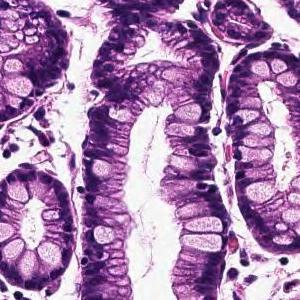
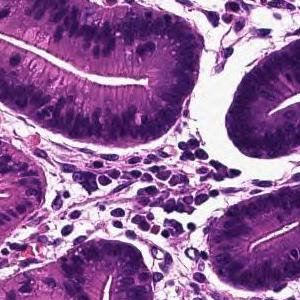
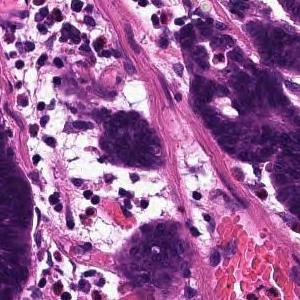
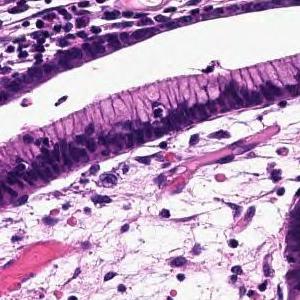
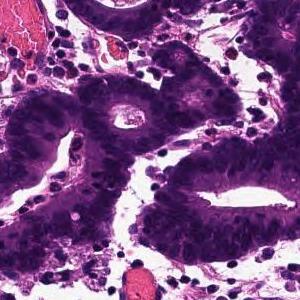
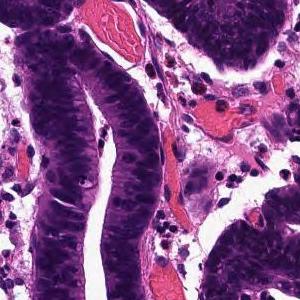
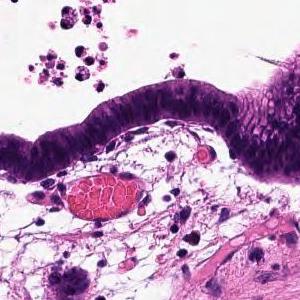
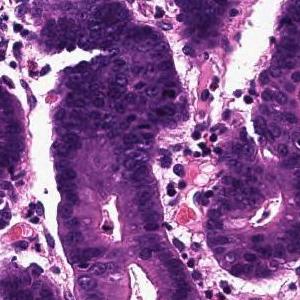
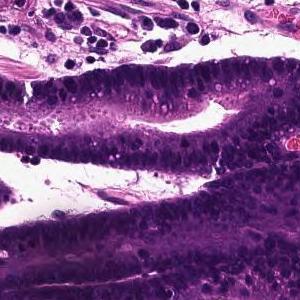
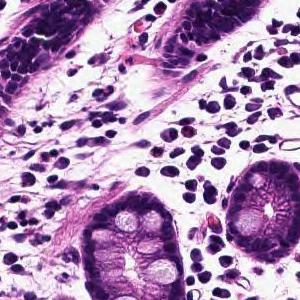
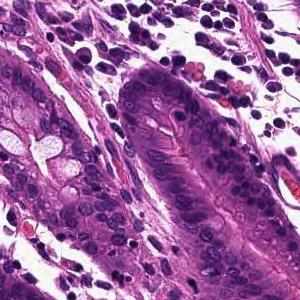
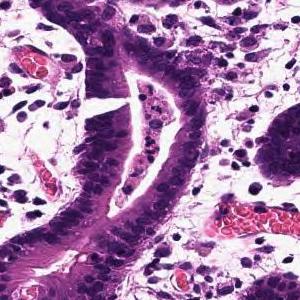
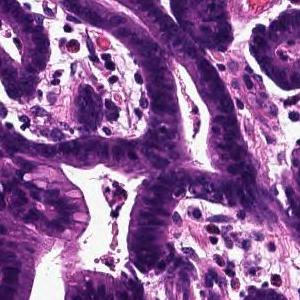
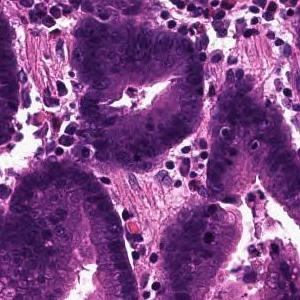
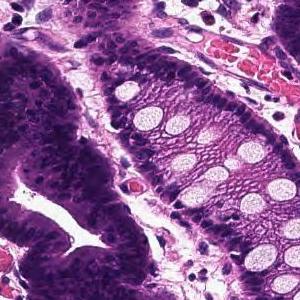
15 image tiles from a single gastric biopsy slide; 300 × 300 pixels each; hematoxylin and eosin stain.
Report on the slide these tiles come from. What the report and the diagnosis say applies to the whole slide; these tiles may miss some of the features named and may include tissue that is not tumor.
Tumor tissue that infiltrates by forming large papillary or large irregular glandular ducts is observed confined to the mucosa. Papillary adenocarcinoma
